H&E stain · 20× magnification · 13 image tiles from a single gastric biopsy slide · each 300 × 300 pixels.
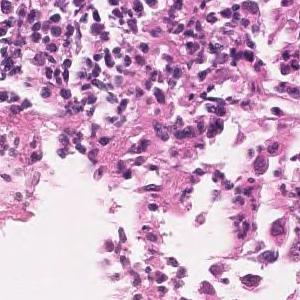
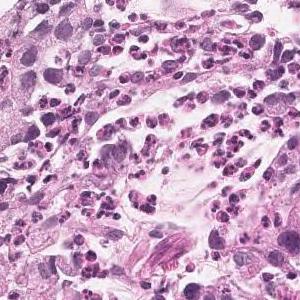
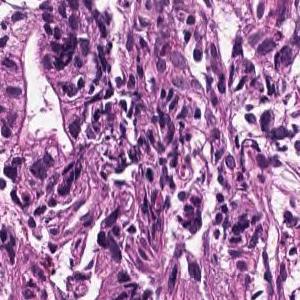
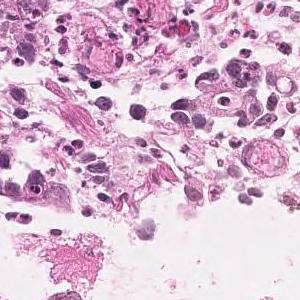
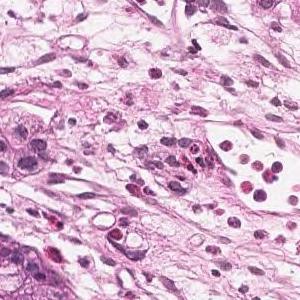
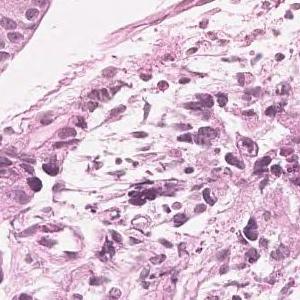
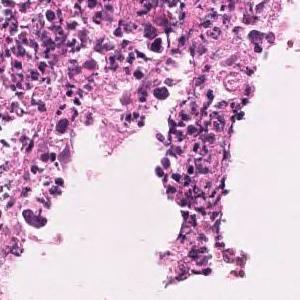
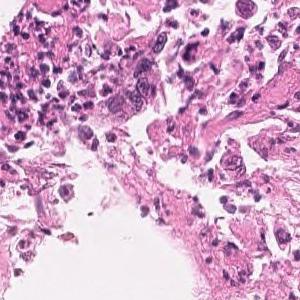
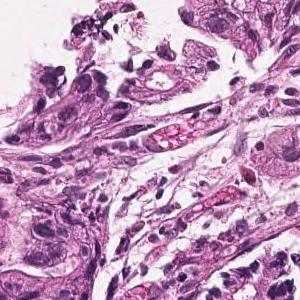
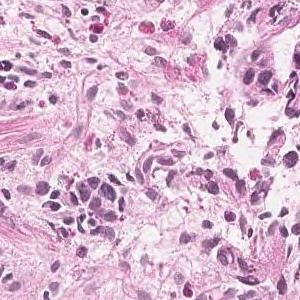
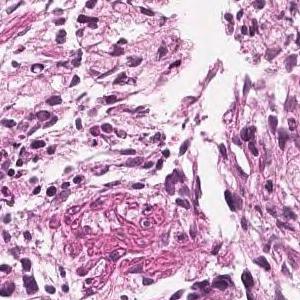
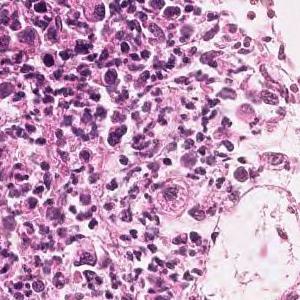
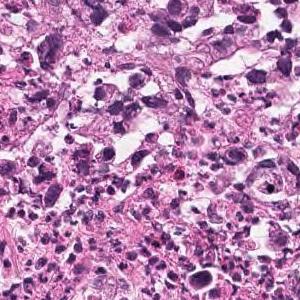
Diagnostic report for the slide these tiles come from. What the report and the diagnosis say applies to the whole slide; these tiles may miss some of the features named and may include tissue that is not tumor.
In the superficial epithelium, medium to small irregular gland ducts are formed, and in some cases, the ducts are fused to show solid alveolar lesions and infiltrating tumor tissue is observed. Moderately to poorly differentiated adenocarcinoma
